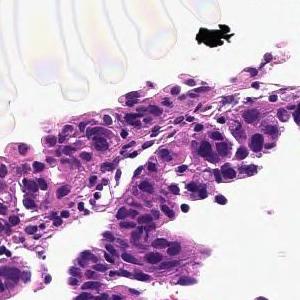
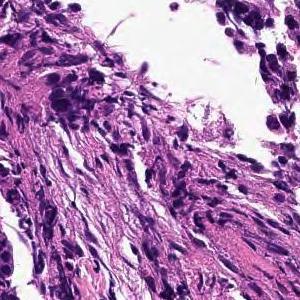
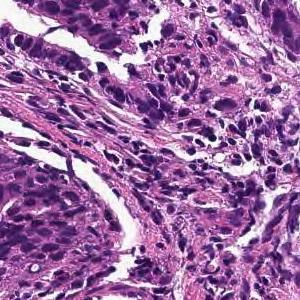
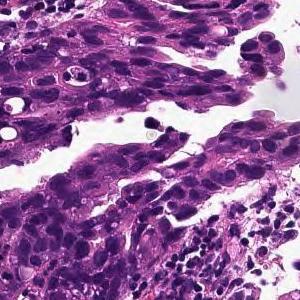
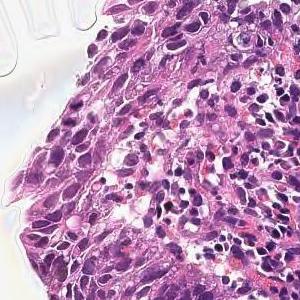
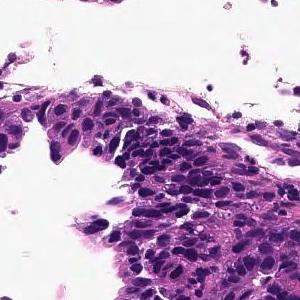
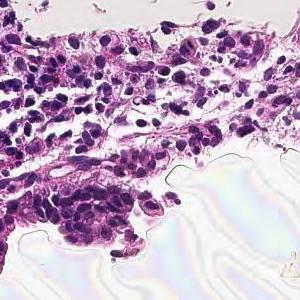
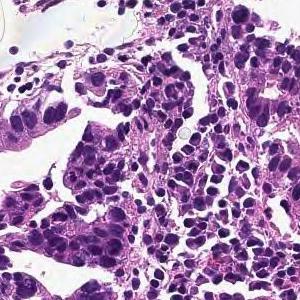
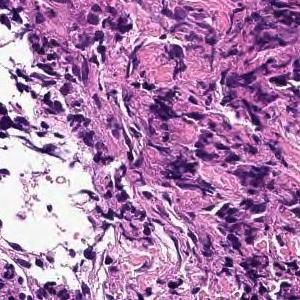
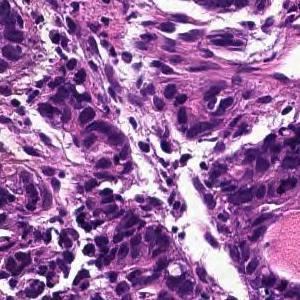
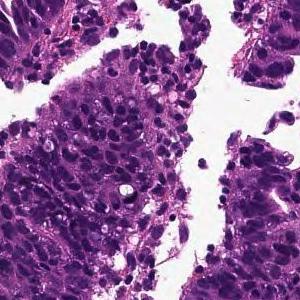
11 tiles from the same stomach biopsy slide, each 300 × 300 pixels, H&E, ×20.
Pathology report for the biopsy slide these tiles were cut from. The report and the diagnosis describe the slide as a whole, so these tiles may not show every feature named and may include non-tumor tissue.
In the superficial epithelium, tumor tissue that invades by forming medium-sized to small, irregular ducts is observed. moderately differentiated tubular adenocarcinoma.
